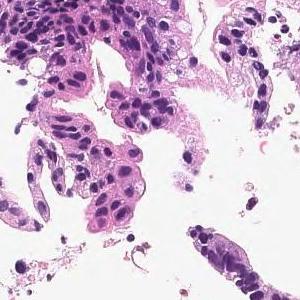
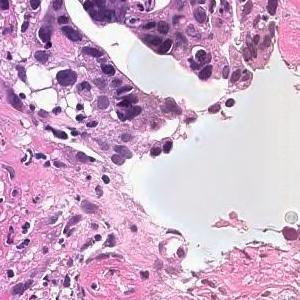
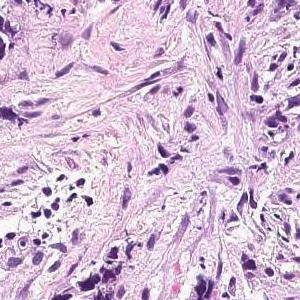
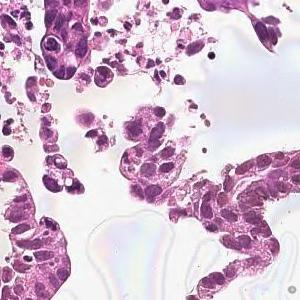
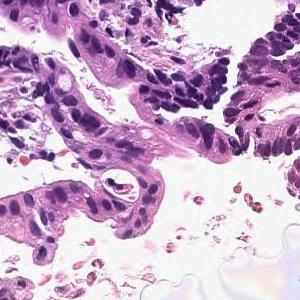
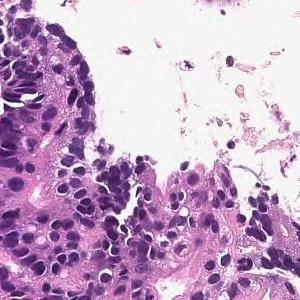
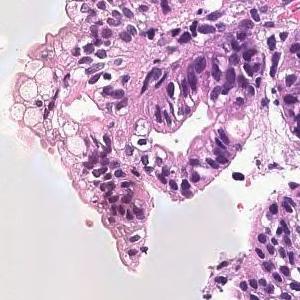
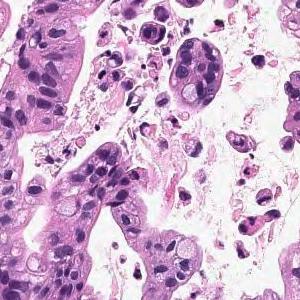
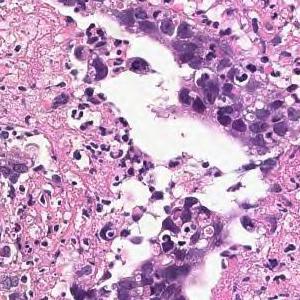
×20 · hematoxylin and eosin stain · 9 image tiles from a single gastric biopsy slide.
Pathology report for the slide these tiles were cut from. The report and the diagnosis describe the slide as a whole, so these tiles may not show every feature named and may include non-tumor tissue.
In the superficial epithelium, tumor tissue that invades by forming medium-sized to small, irregular ducts is observed. moderately differentiated tubular adenocarcinoma.
